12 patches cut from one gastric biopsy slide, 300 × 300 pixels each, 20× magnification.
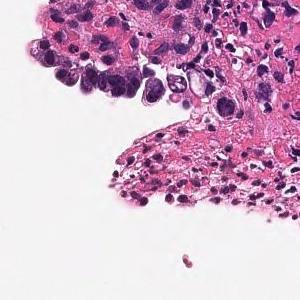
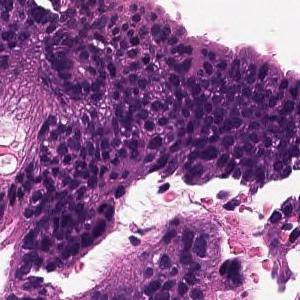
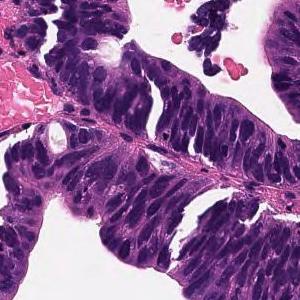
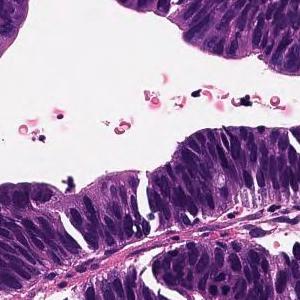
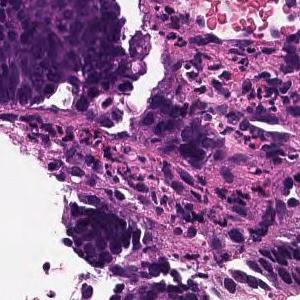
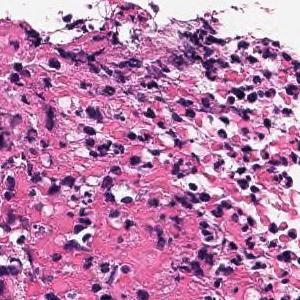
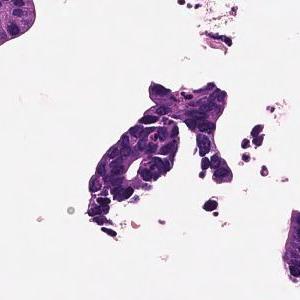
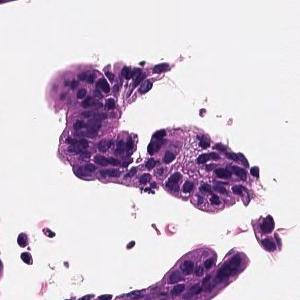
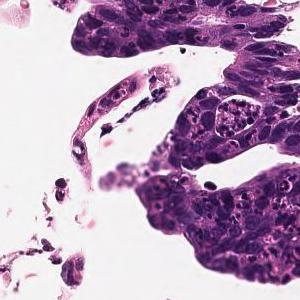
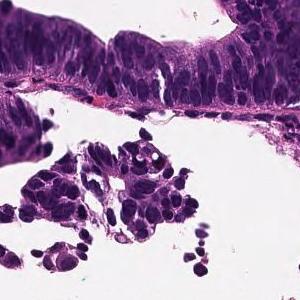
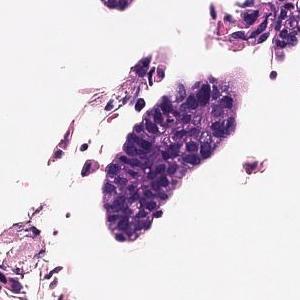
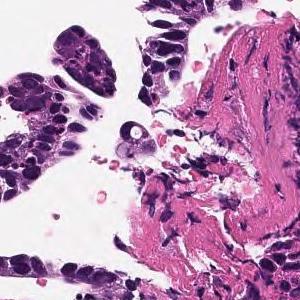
Report on the slide these tiles come from. The report describes the whole slide, diagnosis included: not every finding it names need appear in these tiles, which may also show non-tumor tissue.
Tumor cells are large, highly columnar, large club-shaped nuclei, and are associated with chromatin aggregation. Papillary adenocarcinoma.
